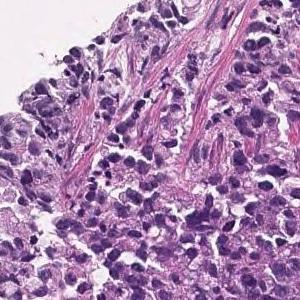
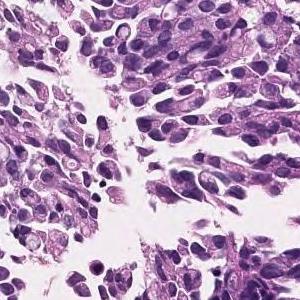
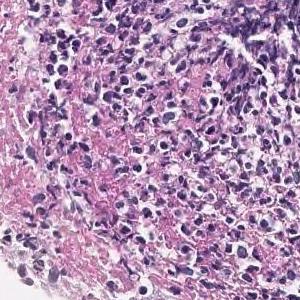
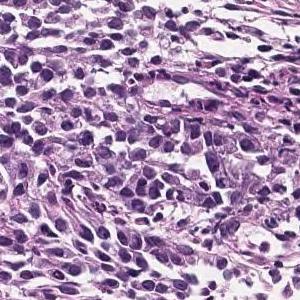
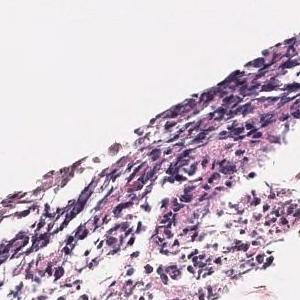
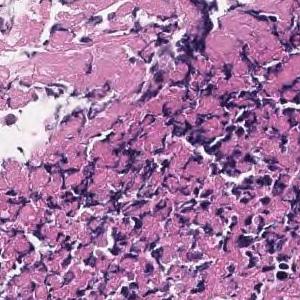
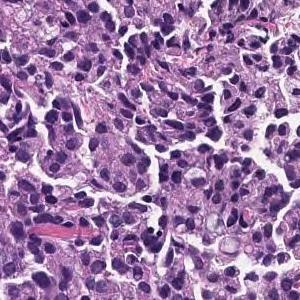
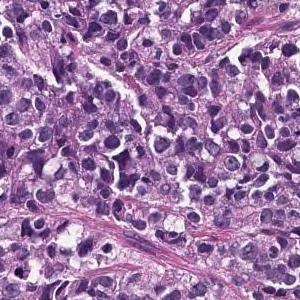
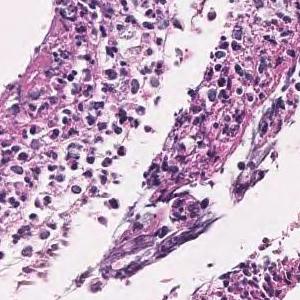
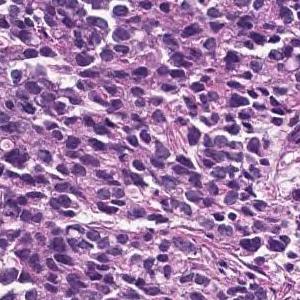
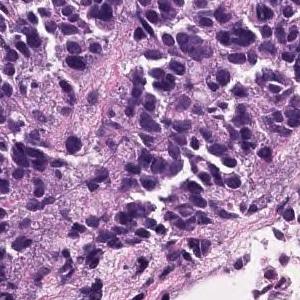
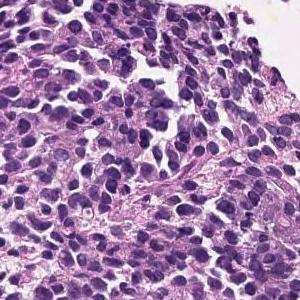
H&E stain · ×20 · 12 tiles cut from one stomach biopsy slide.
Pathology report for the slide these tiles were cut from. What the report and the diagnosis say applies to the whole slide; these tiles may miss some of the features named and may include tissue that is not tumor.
The superficial epithelium shows a large sheet-like shape, and some tumor tissue infiltrates with small irregular ducts. Poorly differentiated adenocarcinoma, solid-type
Histologic type: Poorly differentiated adenocarcinoma, solid type, a category of the Japanese Classification of Gastric Carcinoma; in the WHO 2019 classification it is tubular adenocarcinoma, poorly differentiated.
